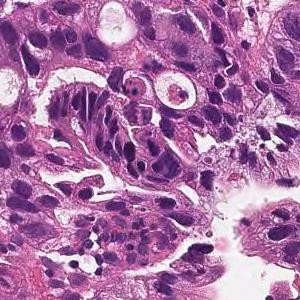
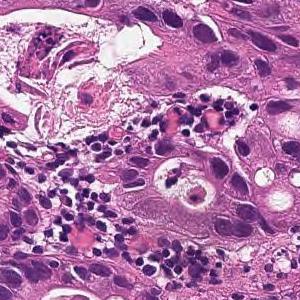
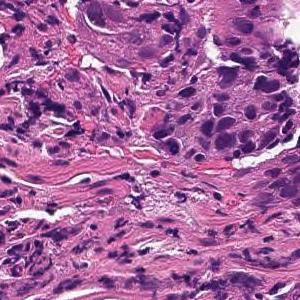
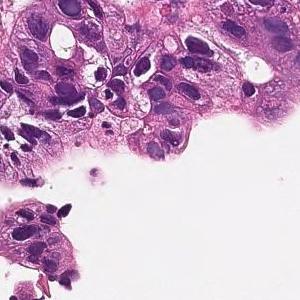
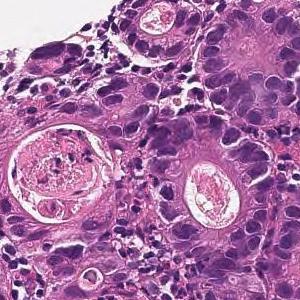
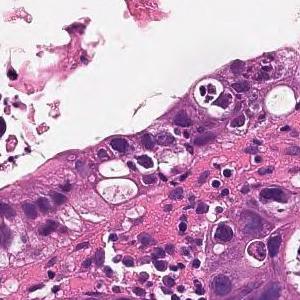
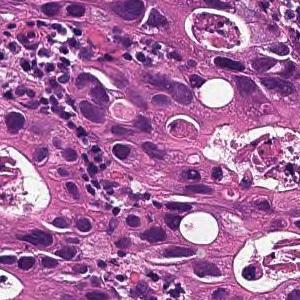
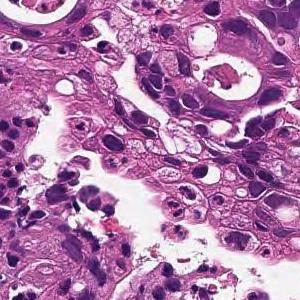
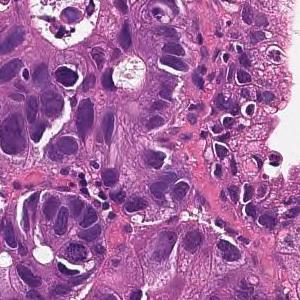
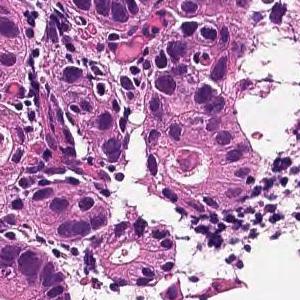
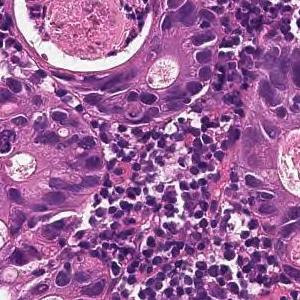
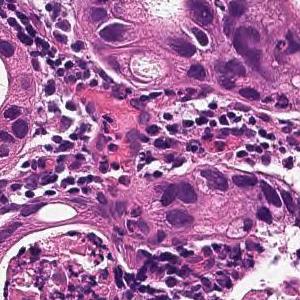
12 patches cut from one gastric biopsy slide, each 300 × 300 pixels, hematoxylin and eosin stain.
Diagnostic report for the slide these tiles come from. The findings and the diagnosis refer to the entire slide; these tiles show only part of it, possibly with non-tumor tissue, and may not show every feature named.
From the superficial epithelium to the muscularis mucosae, tumor tissue consisting of medium-sized and irregular glandular ducts infiltrating is observed. Well differentiated tubular adenocarcinoma
